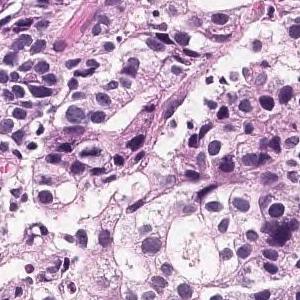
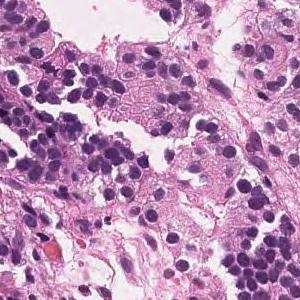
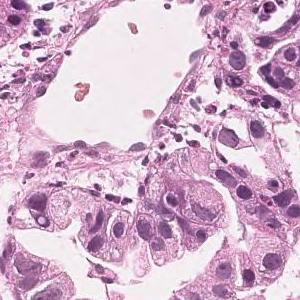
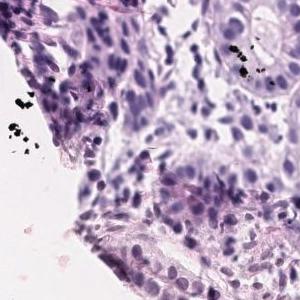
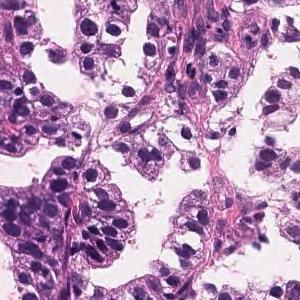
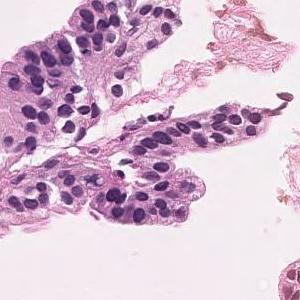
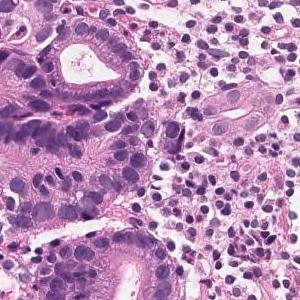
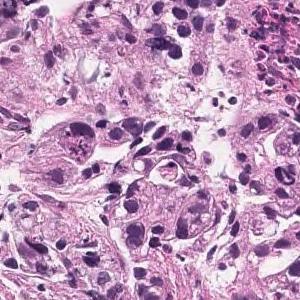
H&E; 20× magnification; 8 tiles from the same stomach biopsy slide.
The pathologist's report on the biopsy slide these tiles were taken from. The report describes the whole slide, diagnosis included: not every finding it names need appear in these tiles, which may also show non-tumor tissue.
In the superficial epithelium, tumor tissue that invades by forming medium-sized to small, irregular ducts is observed. moderately differentiated tubular adenocarcinoma.
